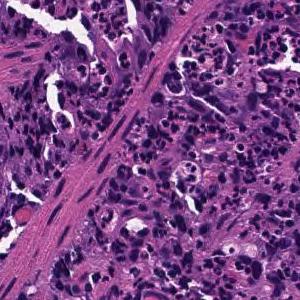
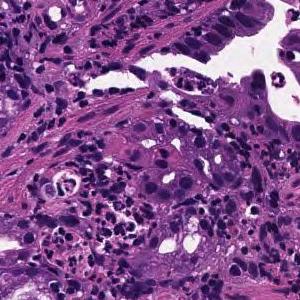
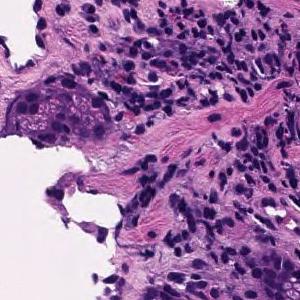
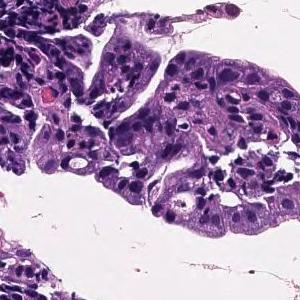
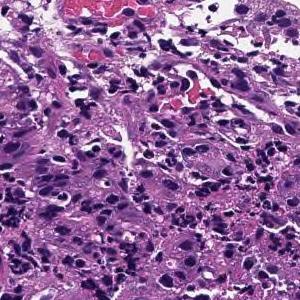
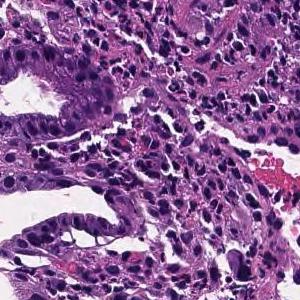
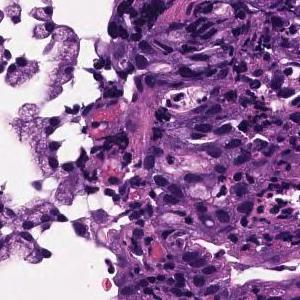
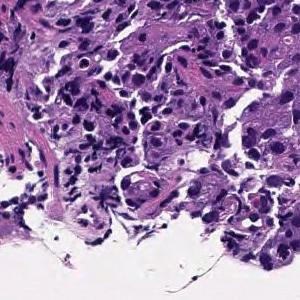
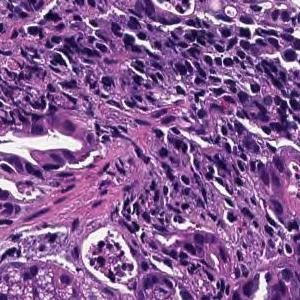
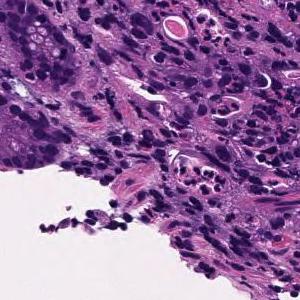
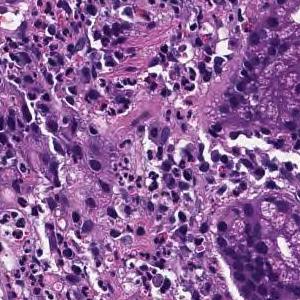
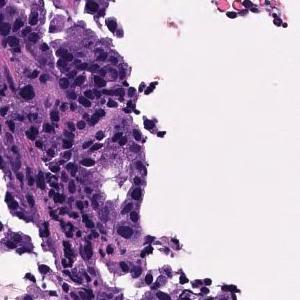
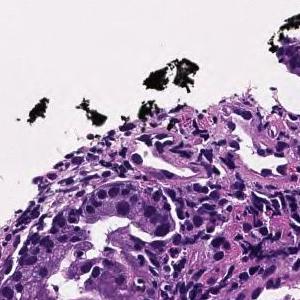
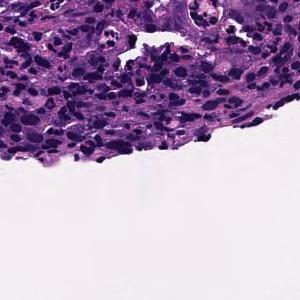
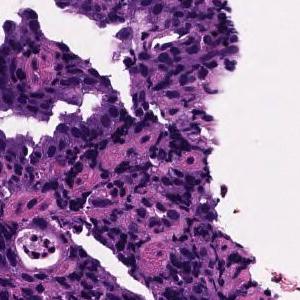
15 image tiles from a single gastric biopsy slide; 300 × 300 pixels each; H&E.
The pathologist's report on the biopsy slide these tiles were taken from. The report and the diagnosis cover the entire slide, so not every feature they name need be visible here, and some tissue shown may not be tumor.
Medium to small, irregular glandular ducts are formed in the superficial epithelium, and in some cases, the glandular ducts are fused to show solid alveolar lesions and infiltrating tumor tissue is observed. Moderately to poorly differentiated adenocarcinoma.
